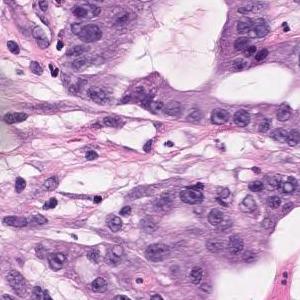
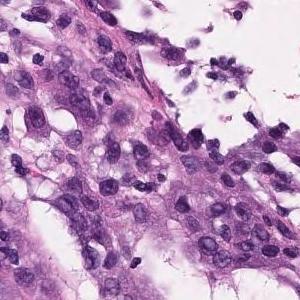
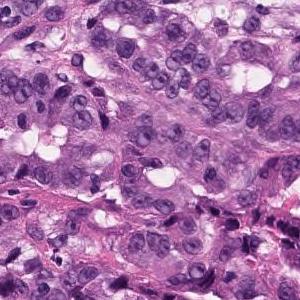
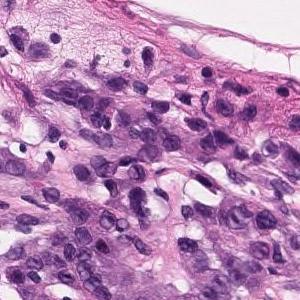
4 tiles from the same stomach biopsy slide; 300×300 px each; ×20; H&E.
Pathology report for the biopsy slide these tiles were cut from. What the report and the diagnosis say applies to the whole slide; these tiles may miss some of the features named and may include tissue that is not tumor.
In the superficial epithelium, tumor tissue that invades by forming medium-sized to small, irregular ducts is observed. Moderately differentiated adenocarcinoma.
Histologic type: Moderately differentiated tubular adenocarcinoma.
